Hematoxylin and eosin stain; 8 patches cut from one gastric biopsy slide.
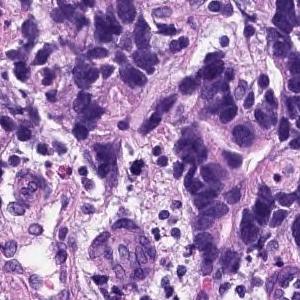
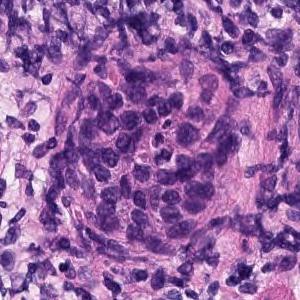
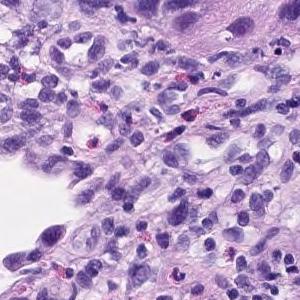
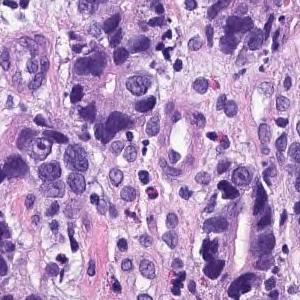
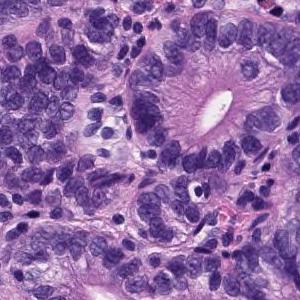
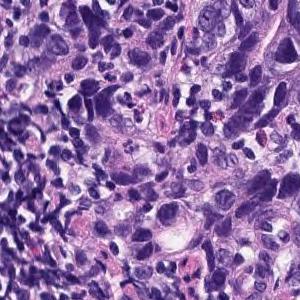
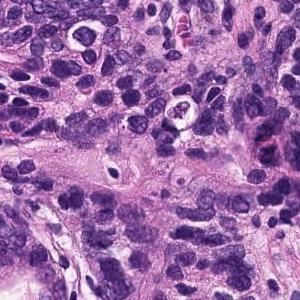
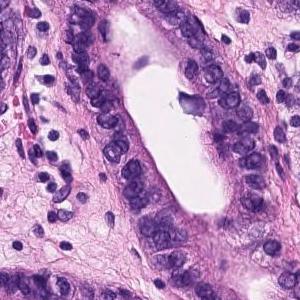
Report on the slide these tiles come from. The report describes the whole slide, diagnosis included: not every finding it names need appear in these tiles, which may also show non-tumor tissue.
On the superficial epithelium, tumor tissue consisting of images showing invasive growth with small, irregular tubules partially fused is observed. moderately differentiated tubular adenocarcinoma
